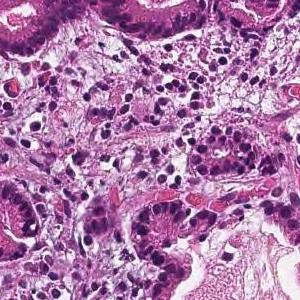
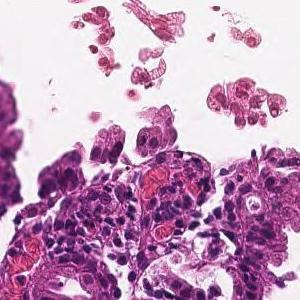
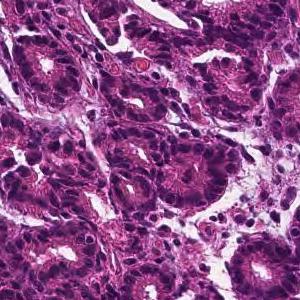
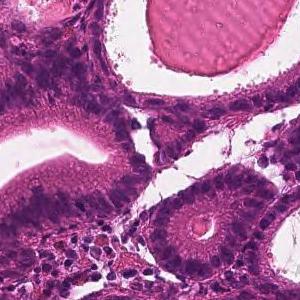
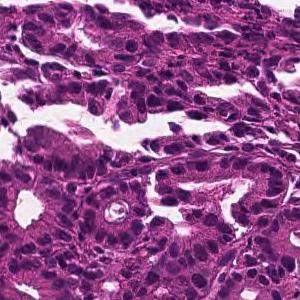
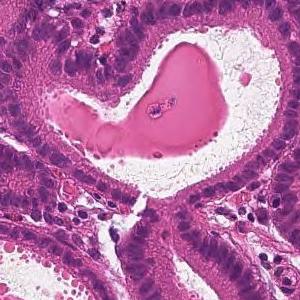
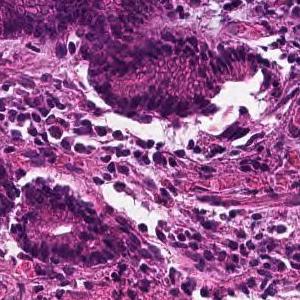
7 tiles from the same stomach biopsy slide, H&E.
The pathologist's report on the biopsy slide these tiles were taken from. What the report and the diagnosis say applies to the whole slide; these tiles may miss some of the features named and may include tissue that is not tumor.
From the superficial epithelium to the muscularis mucosae, tumor tissue consisting of medium-sized and irregular glandular ducts infiltrating is observed. Well differentiated tubular adenocarcinoma
